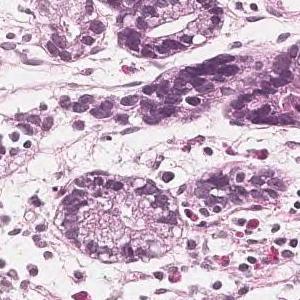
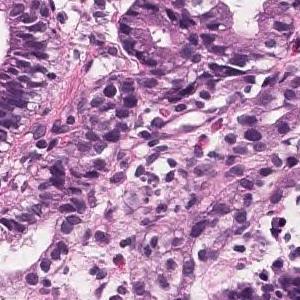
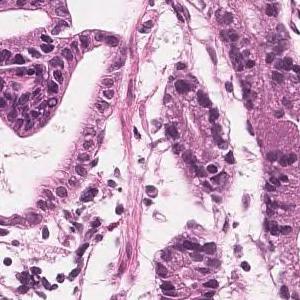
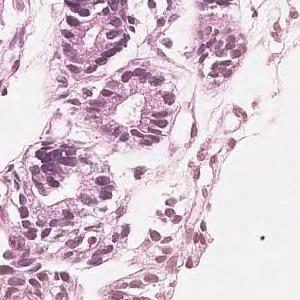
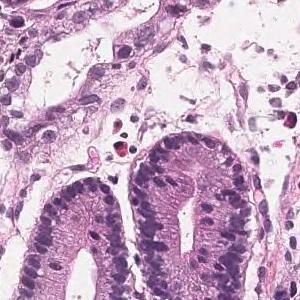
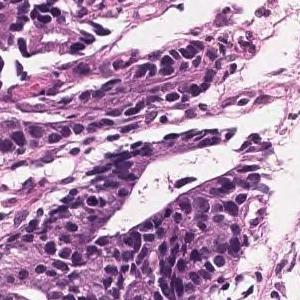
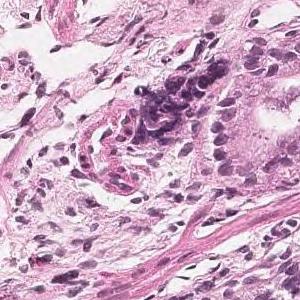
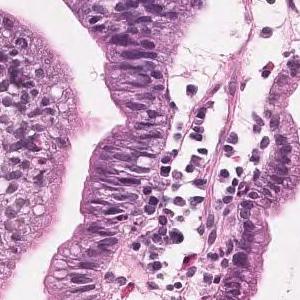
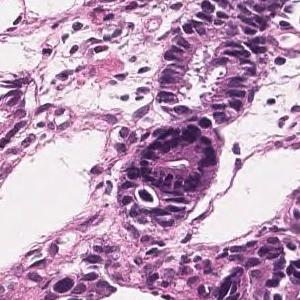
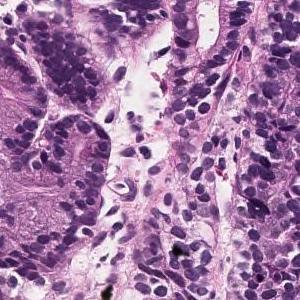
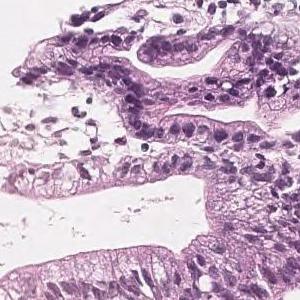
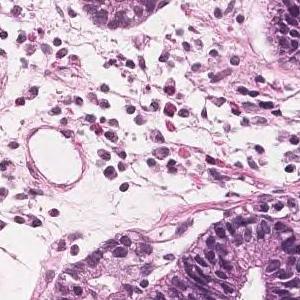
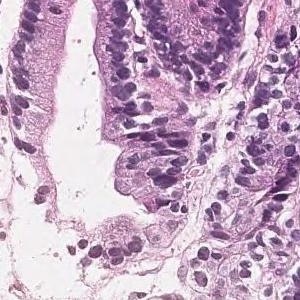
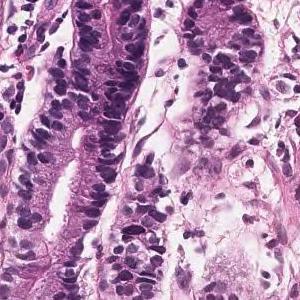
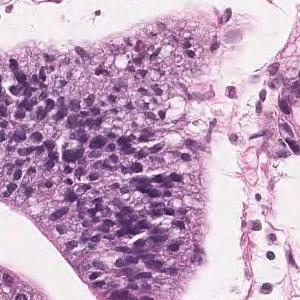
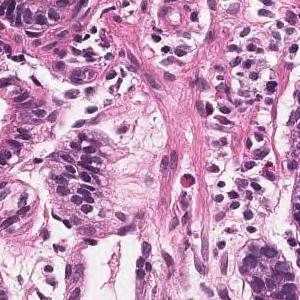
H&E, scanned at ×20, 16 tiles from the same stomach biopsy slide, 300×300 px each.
Diagnostic report for the slide these tiles come from. The report and the diagnosis cover the entire slide, so not every feature they name need be visible here, and some tissue shown may not be tumor.
Most of the tumor remains in the epithelium and shows a medium-sized circular system or irregular ducts, showing proliferating and developing tumor tissue. Well differentiated tubular adenocarcinoma
